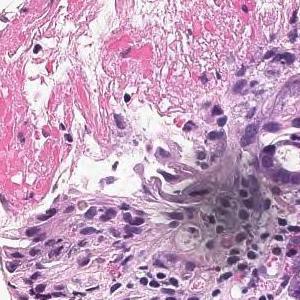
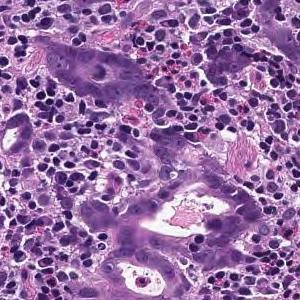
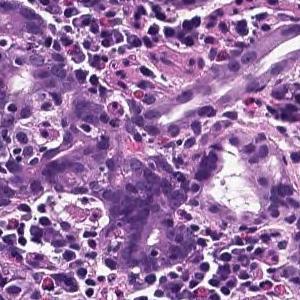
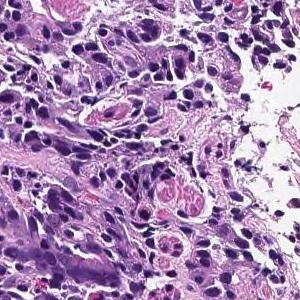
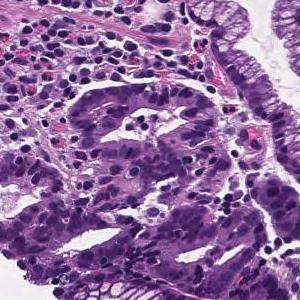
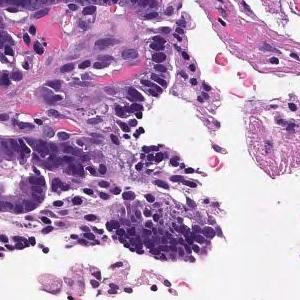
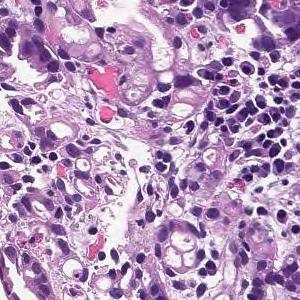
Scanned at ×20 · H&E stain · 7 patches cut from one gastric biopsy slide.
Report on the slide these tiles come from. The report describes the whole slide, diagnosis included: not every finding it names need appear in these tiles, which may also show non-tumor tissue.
In the superficial epithelium, tumor tissue that invades by forming medium-sized to small, irregular ducts is observed. moderately differentiated tubular adenocarcinoma.
